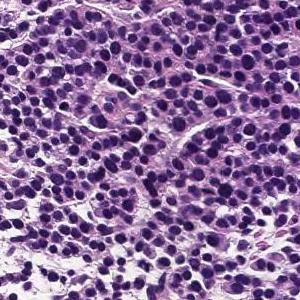
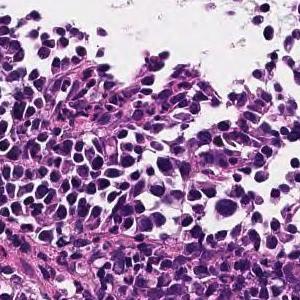
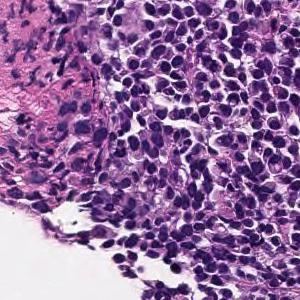
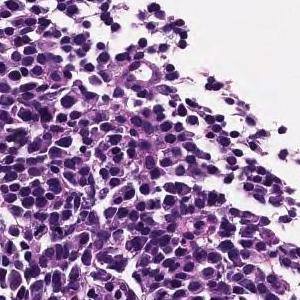
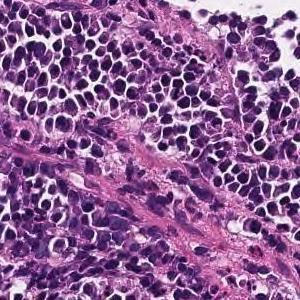
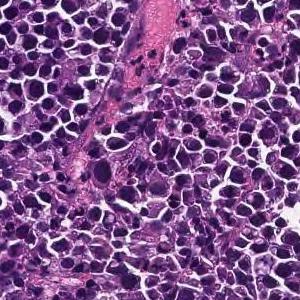
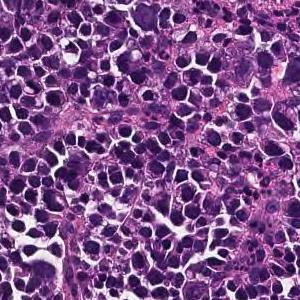
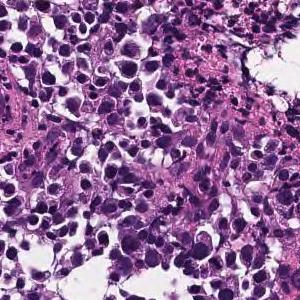
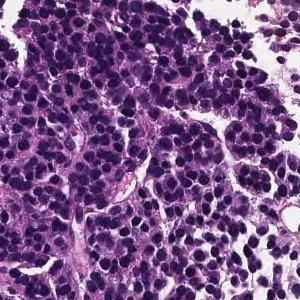
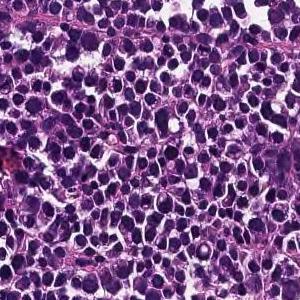
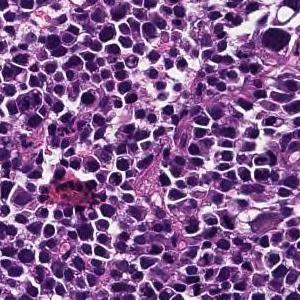
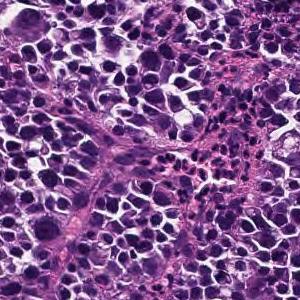
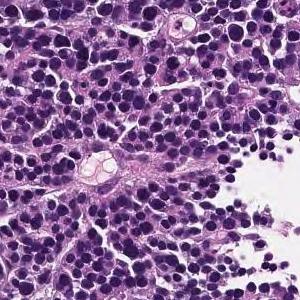
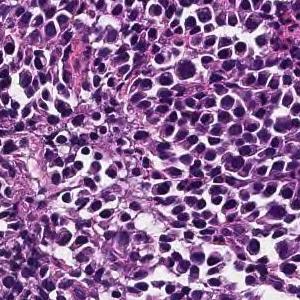
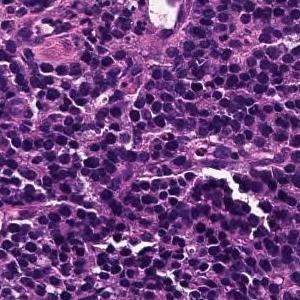
Hematoxylin and eosin stain; 15 tiles cut from one stomach biopsy slide; 300×300 px each.
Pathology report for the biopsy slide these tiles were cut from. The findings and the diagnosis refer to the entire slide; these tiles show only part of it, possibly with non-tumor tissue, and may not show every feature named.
Large sheet-like or diffusely infiltrating tumor tissue is found in the superficial epithelium. Poorly differentiated adenocarcinoma, solid-type
Classified as poorly differentiated adenocarcinoma, solid type (Japanese Classification of Gastric Carcinoma). The WHO 2019 equivalent is tubular adenocarcinoma, poorly differentiated.
